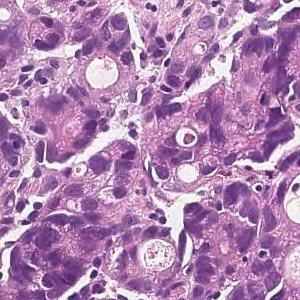
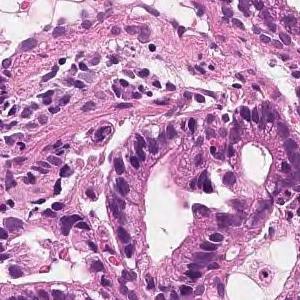
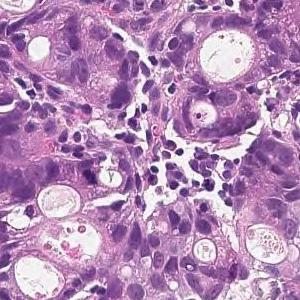
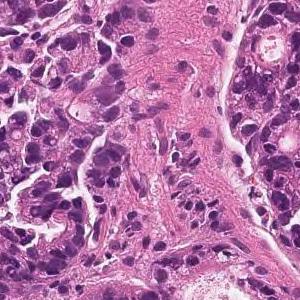
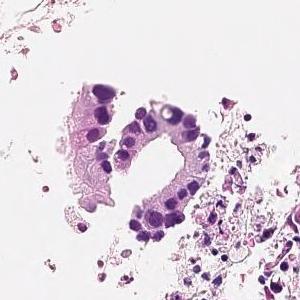
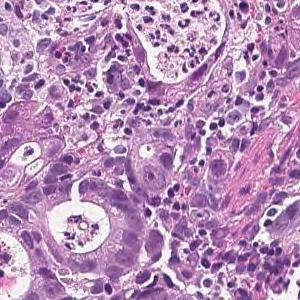
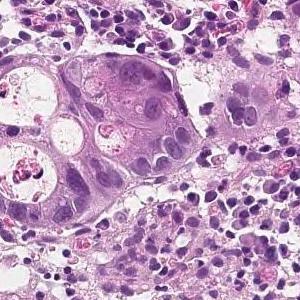
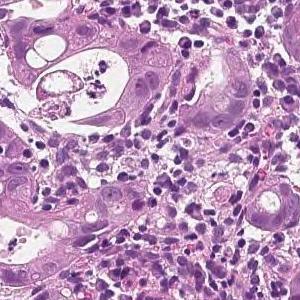
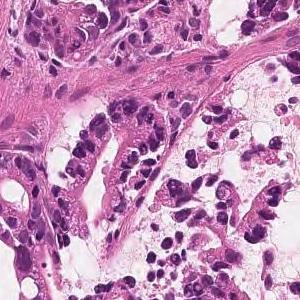
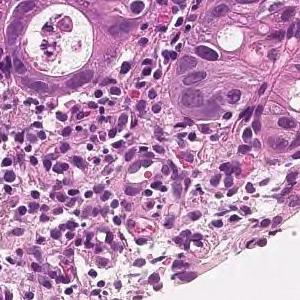
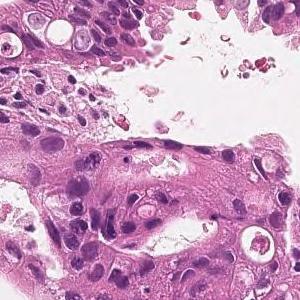
11 patches cut from one gastric biopsy slide; 300 × 300 pixels each; hematoxylin and eosin stain; 20× magnification.
Report on the slide these tiles come from. Both the report and the diagnosis are for the whole slide: these tiles need not show every feature named, and some of the tissue shown may not be tumor.
On the superficial epithelium, tumor tissue is found in which medium-sized irregular gland ducts fuse with each other and infiltrate. moderately differentiated tubular adenocarcinoma
